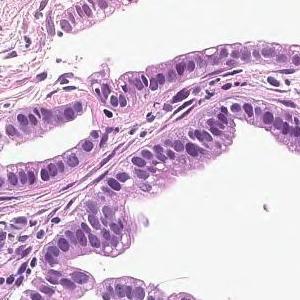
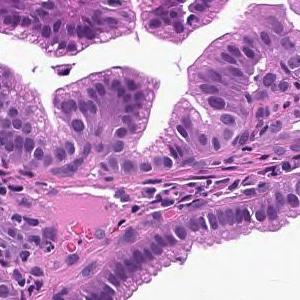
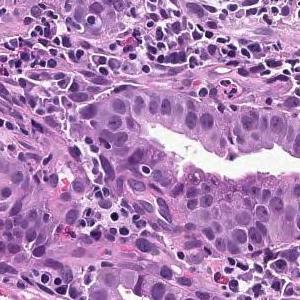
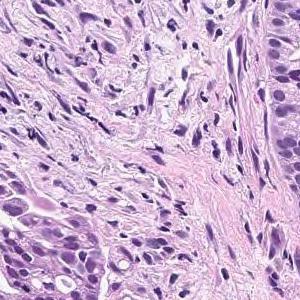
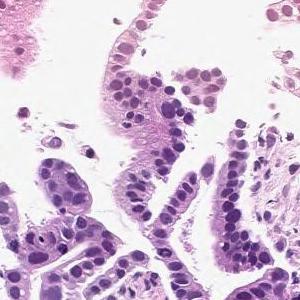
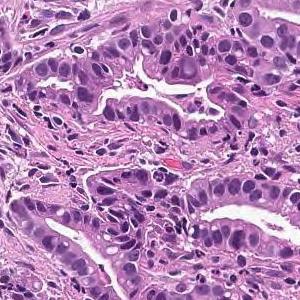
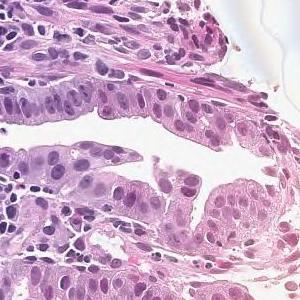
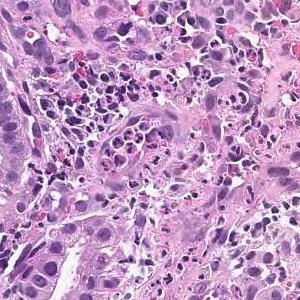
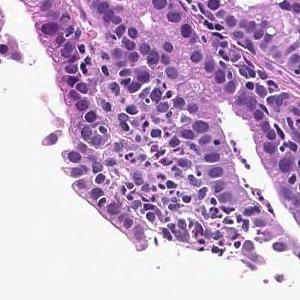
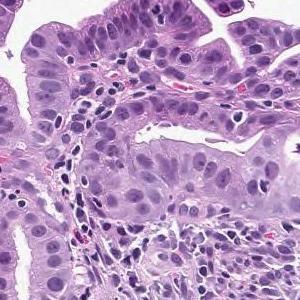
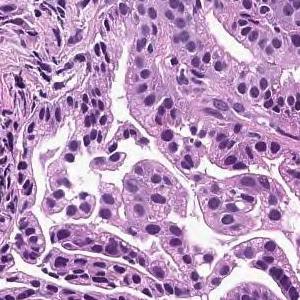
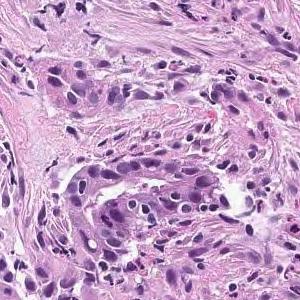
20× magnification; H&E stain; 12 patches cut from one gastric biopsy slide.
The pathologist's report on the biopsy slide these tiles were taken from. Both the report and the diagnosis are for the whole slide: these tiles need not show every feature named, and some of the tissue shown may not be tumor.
On the superficial epithelium, tumor tissue that infiltrates by forming medium-sized papillary or small irregular ducts is observed. Papillary adenocarcinoma
